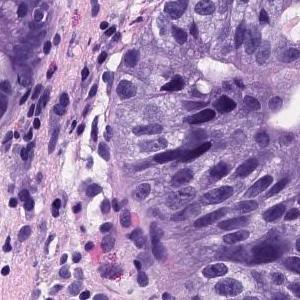
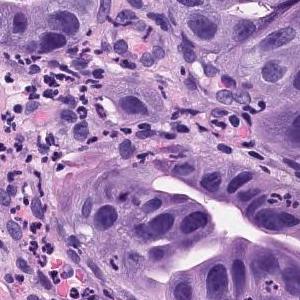
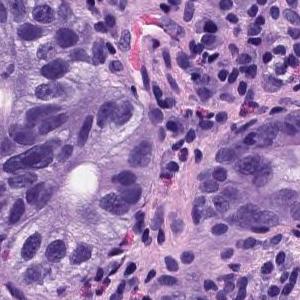
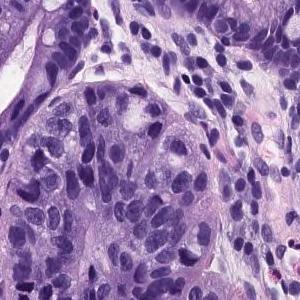
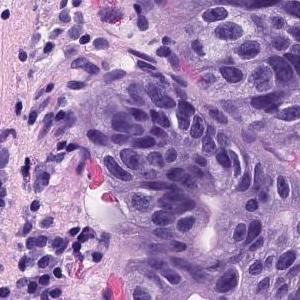
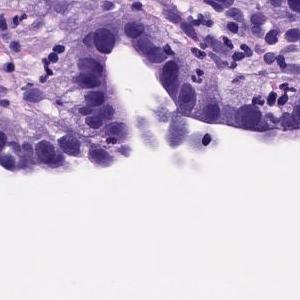
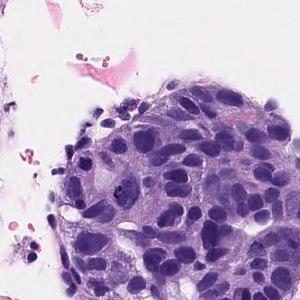
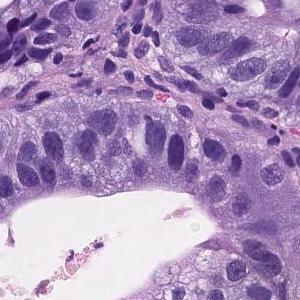
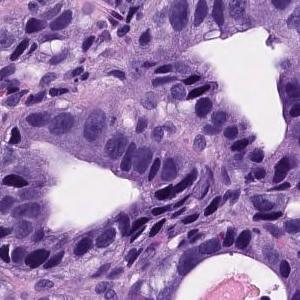
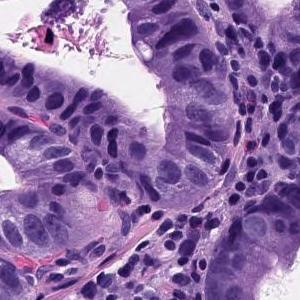
10 image tiles from a single gastric biopsy slide, 300 × 300 pixels each, 20× magnification, H&E.
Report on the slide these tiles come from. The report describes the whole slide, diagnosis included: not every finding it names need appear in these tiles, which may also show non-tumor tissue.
Proliferation of atypical tubules is observed in surface epithelium. Tubules form back-to-back structure. Tubules exhibit glandular budding, nuclear enlargement, cellular atypia. Well differentiated tubular adenocarcinoma.
